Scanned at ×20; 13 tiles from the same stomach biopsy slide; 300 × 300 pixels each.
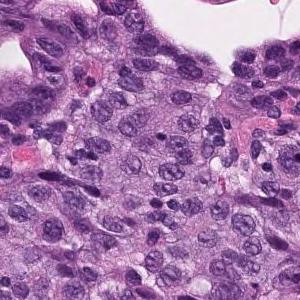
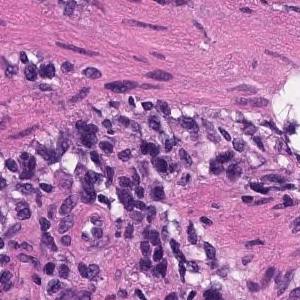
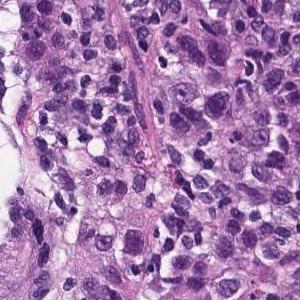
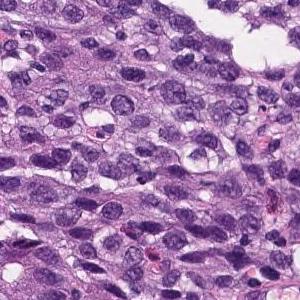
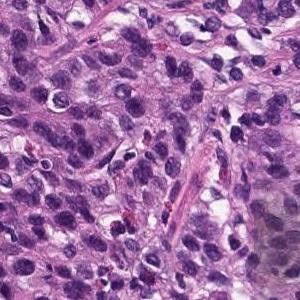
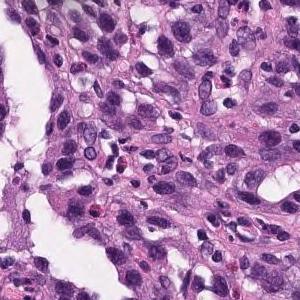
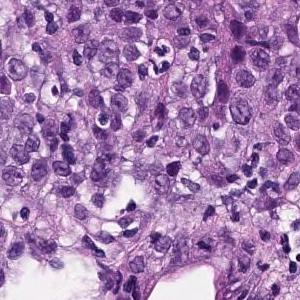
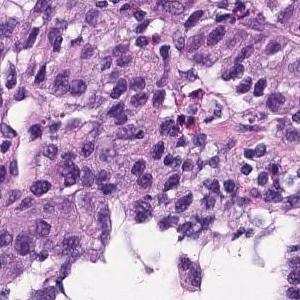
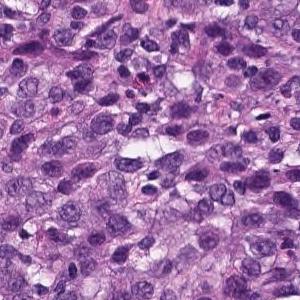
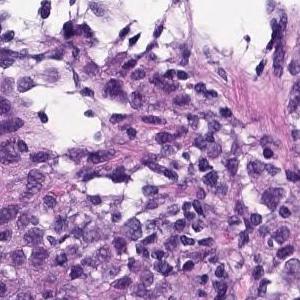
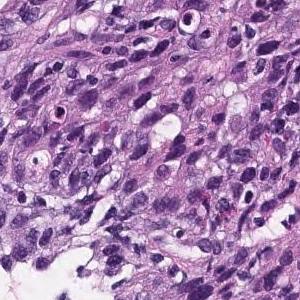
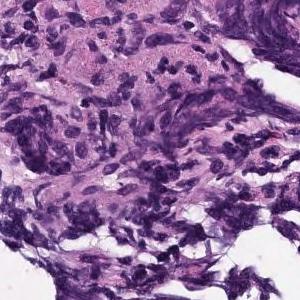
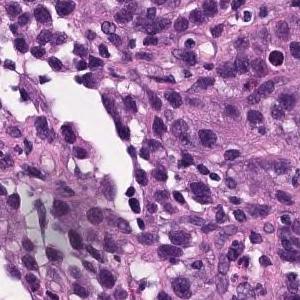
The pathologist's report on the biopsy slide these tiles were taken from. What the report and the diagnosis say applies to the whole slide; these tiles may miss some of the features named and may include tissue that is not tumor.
In the superficial epithelium, tumor tissue that invades by forming medium-sized to small, irregular ducts is observed. Moderately differentiated adenocarcinoma.
Histological subtype: Moderately differentiated tubular adenocarcinoma.
